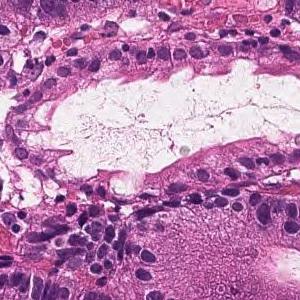
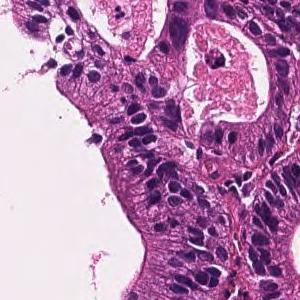
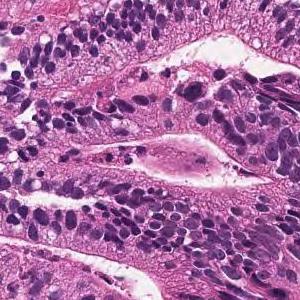
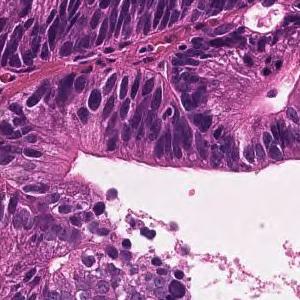
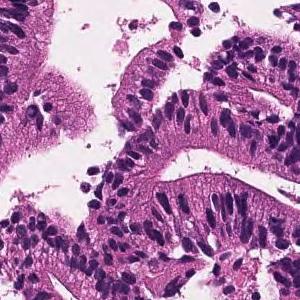
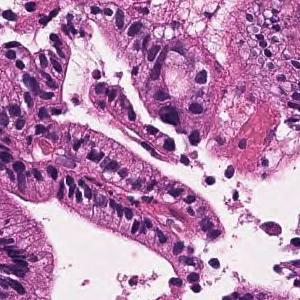
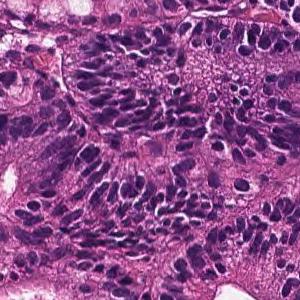
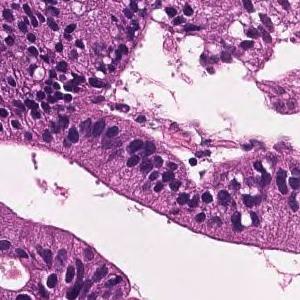
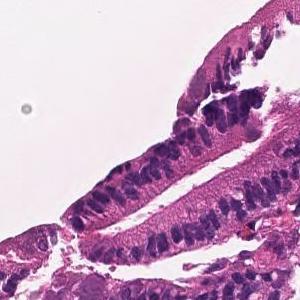
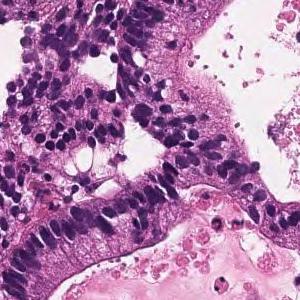
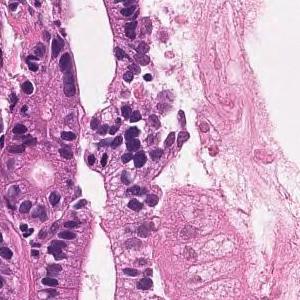
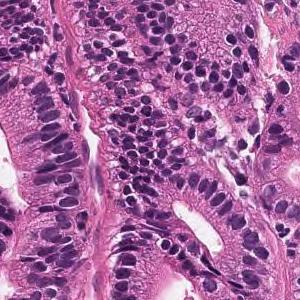
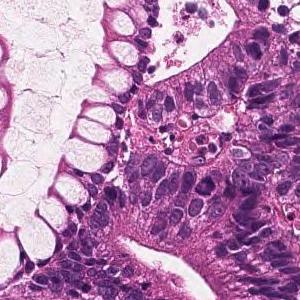
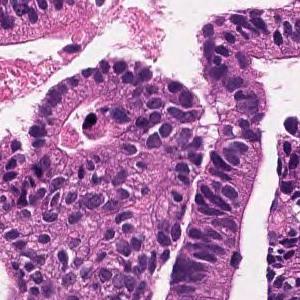
14 patches cut from one gastric biopsy slide; ×20; hematoxylin and eosin stain.
Pathology report for the slide these tiles were cut from. The findings and the diagnosis refer to the entire slide; these tiles show only part of it, possibly with non-tumor tissue, and may not show every feature named.
From the superficial epithelium to the muscularis mucosae, tumor tissue infiltrating by forming medium-sized irregular gland ducts is observed. Large tumor cells exhibit large nucleus and hyperchromatism. Well differentiated tubular adenocarcinoma
